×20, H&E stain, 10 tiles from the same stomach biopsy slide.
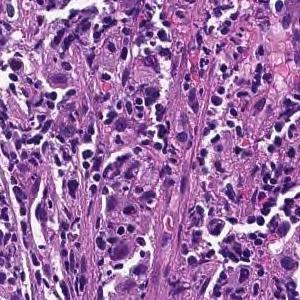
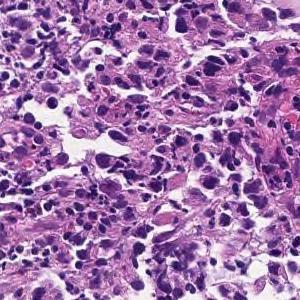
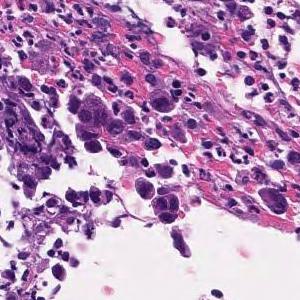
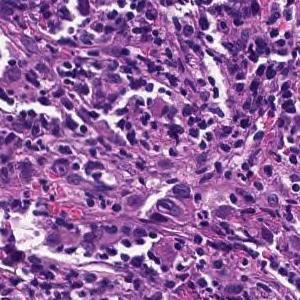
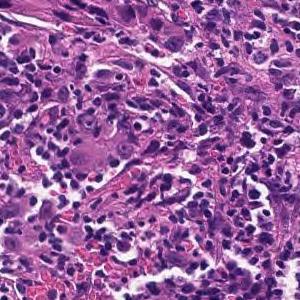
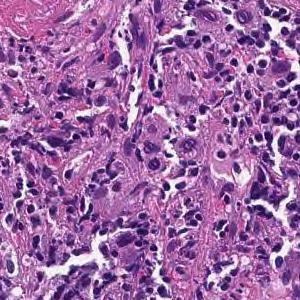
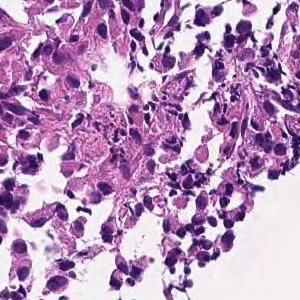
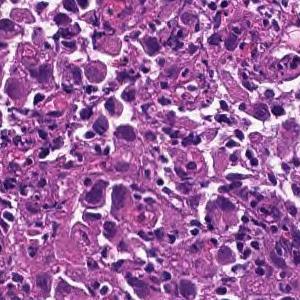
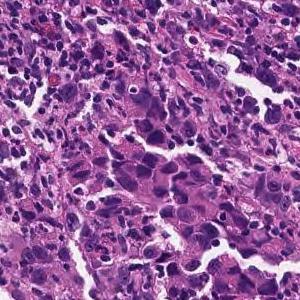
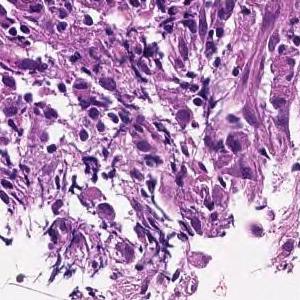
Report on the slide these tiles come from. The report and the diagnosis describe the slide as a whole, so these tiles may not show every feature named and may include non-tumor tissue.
The superficial epithelium shows a large sheet-like shape, and some tumor tissue infiltrates with small irregular ducts. Poorly differentiated adenocarcinoma, solid-type (poorly differentiated adenocarcinoma, solid type)
Histologic type: Poorly differentiated adenocarcinoma, solid type. This name comes from the Japanese Classification of Gastric Carcinoma; the WHO 2019 classification calls it tubular adenocarcinoma, poorly differentiated.
